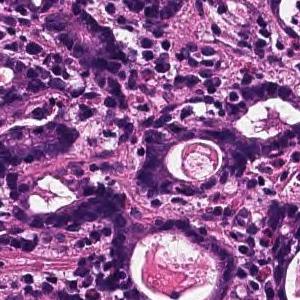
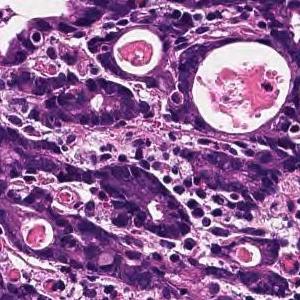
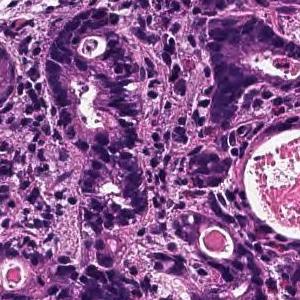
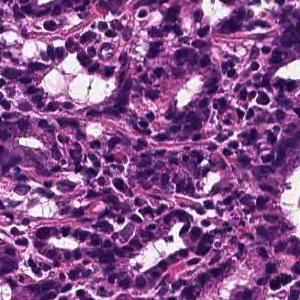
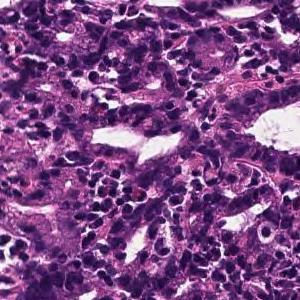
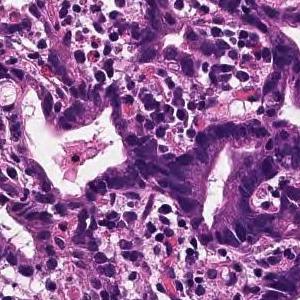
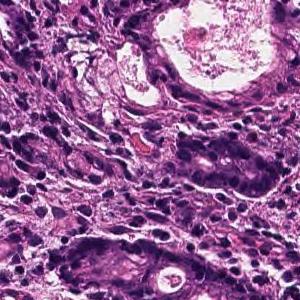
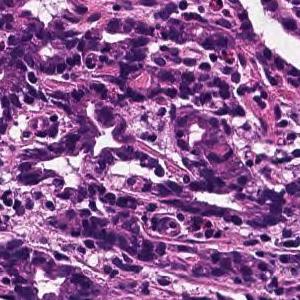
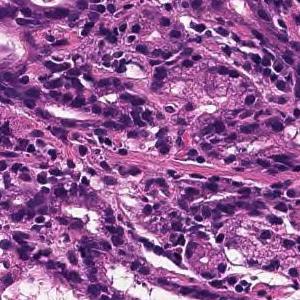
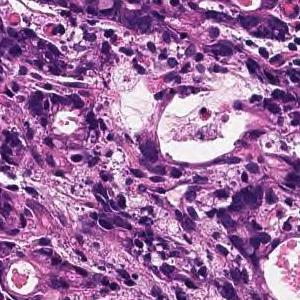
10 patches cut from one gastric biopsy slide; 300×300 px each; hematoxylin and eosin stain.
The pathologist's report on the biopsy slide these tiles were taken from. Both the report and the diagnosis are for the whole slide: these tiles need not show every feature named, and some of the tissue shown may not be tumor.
On the superficial epithelium, tumor tissue is found in which medium-sized irregular gland ducts fuse with each other and infiltrate. moderately differentiated tubular adenocarcinoma
